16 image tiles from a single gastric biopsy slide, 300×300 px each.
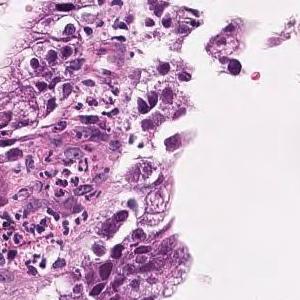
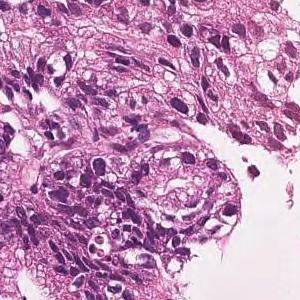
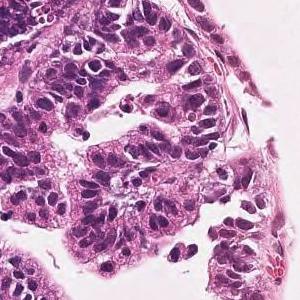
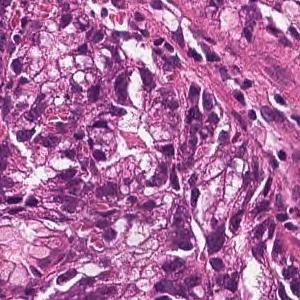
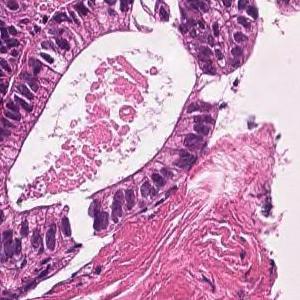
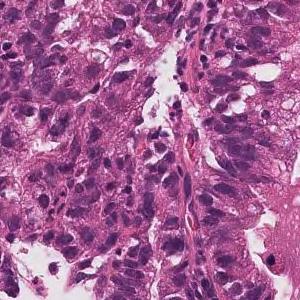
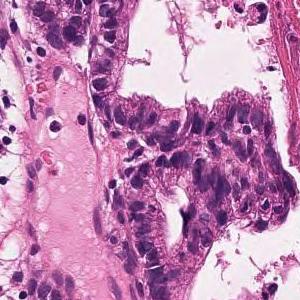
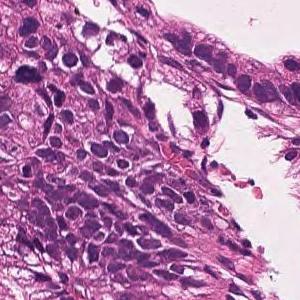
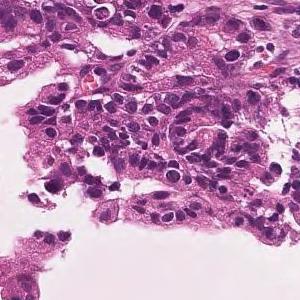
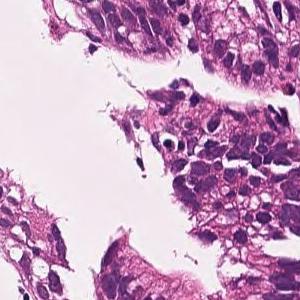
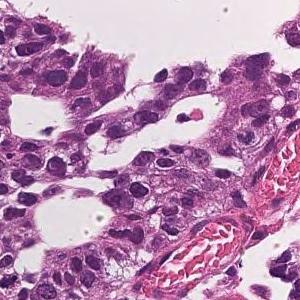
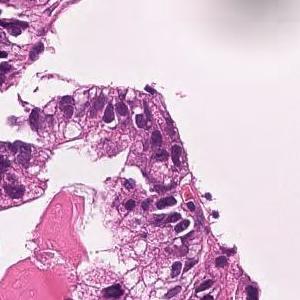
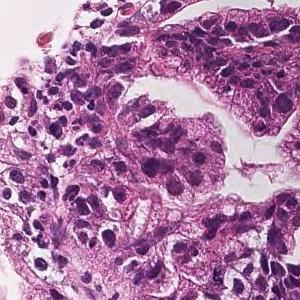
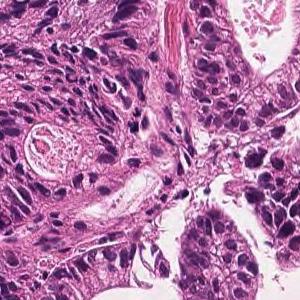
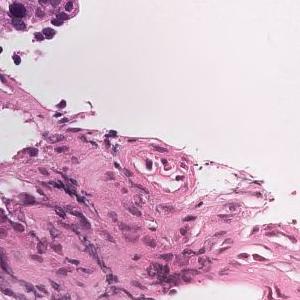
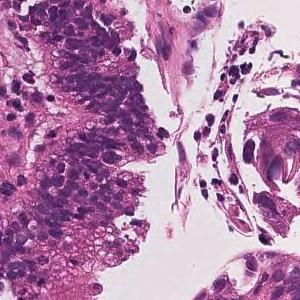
Pathology report for the biopsy slide these tiles were cut from. What the report and the diagnosis say applies to the whole slide; these tiles may miss some of the features named and may include tissue that is not tumor.
On the superficial epithelium, tumor tissue consisting of large, irregular glandular ducts partially fused and infiltrated is observed. Well to moderately differentiated tubular adenocarcinoma (well differentiated tubular adenocarcinoma, moderately differentiated tubular adenocarcinoma)
Tumor subtype: well to moderately differentiated tubular adenocarcinoma.
